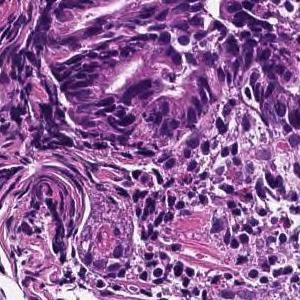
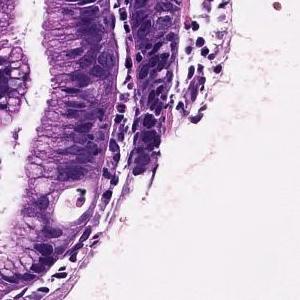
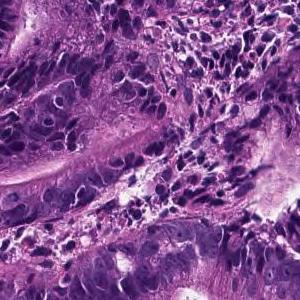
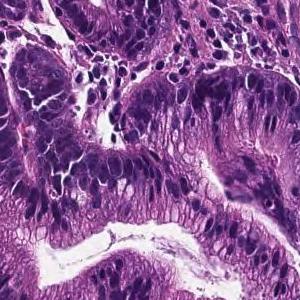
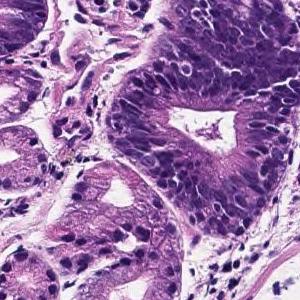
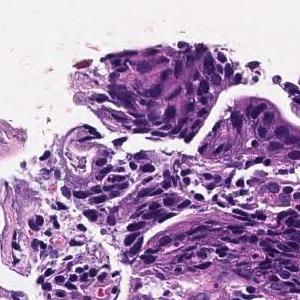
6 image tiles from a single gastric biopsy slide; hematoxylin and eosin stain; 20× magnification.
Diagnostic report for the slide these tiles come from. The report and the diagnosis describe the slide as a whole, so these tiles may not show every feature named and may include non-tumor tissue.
From the superficial epithelium to the muscularis mucosae, tumor tissue consisting of medium-sized and irregular glandular ducts infiltrating is observed. Well differentiated tubular adenocarcinoma
